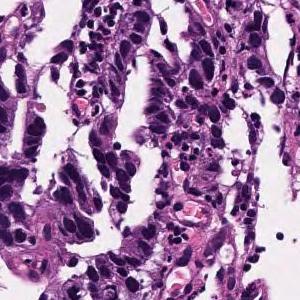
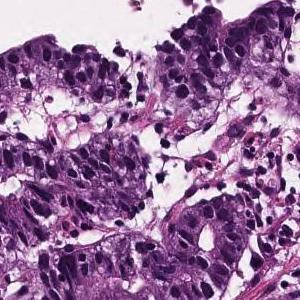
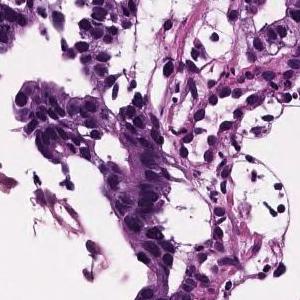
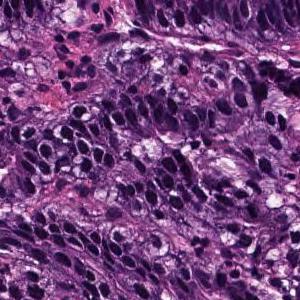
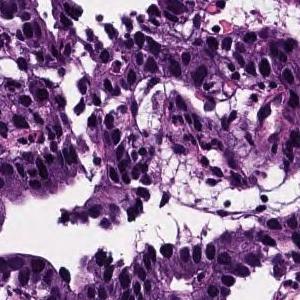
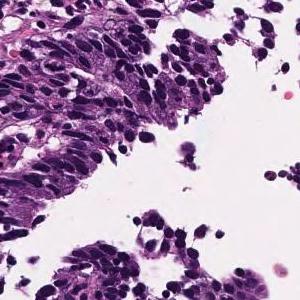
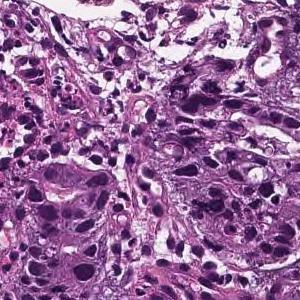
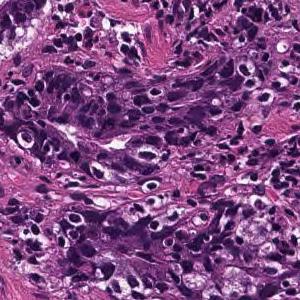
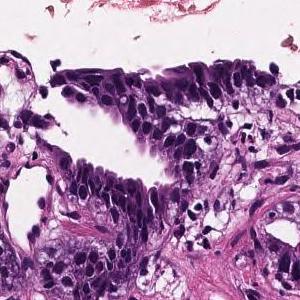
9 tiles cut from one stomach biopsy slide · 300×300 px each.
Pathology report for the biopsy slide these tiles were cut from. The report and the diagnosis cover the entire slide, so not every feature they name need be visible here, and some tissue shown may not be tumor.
Atypical l cells with atypical nuclei forming diffuse or small irregular atypical ducts and growing. Moderately to poorly differentiated adenocarcinoma (poorly differentiated adenocarcinoma, solid type moderately differentiated tubular adenocarcinoma)
Subtype: Moderately to poorly differentiated adenocarcinoma.
The term "solid type" comes from the Japanese Classification of Gastric Carcinoma; the WHO 2019 equivalent is tubular adenocarcinoma, poorly differentiated.
